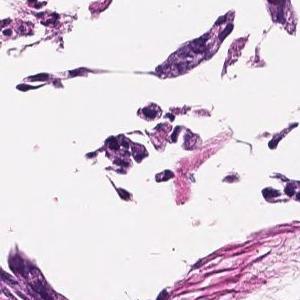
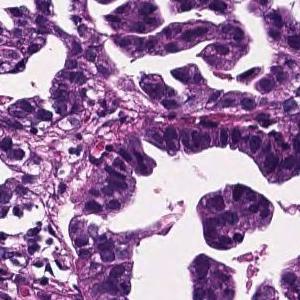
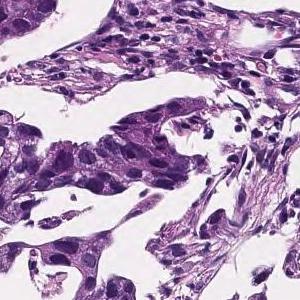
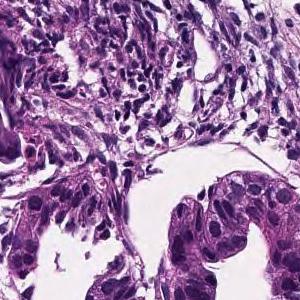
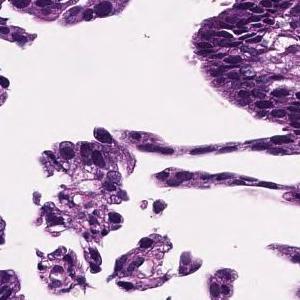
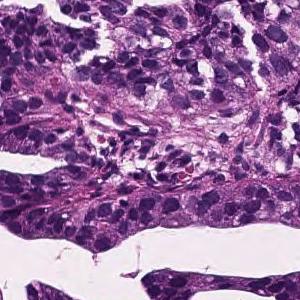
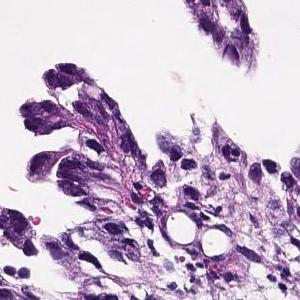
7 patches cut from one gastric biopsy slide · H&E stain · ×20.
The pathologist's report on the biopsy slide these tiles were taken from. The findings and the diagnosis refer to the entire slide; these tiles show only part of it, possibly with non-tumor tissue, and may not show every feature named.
In the lamina propria, tumor tissue that invades by forming medium-sized to small, irregular glandular ducts is observed. moderately differentiated tubular adenocarcinoma
